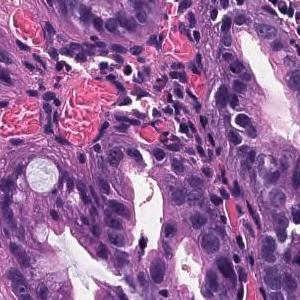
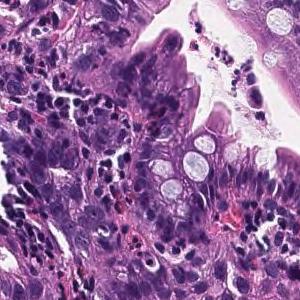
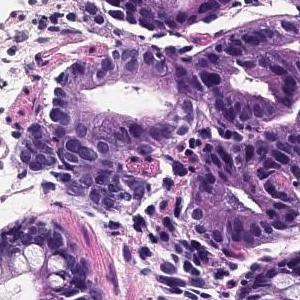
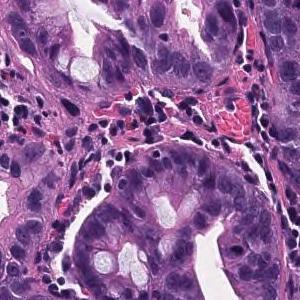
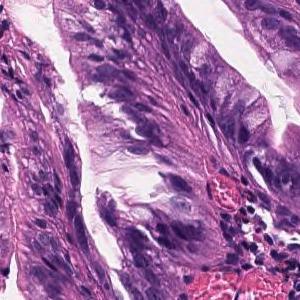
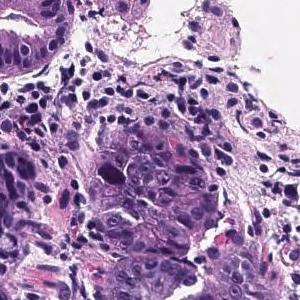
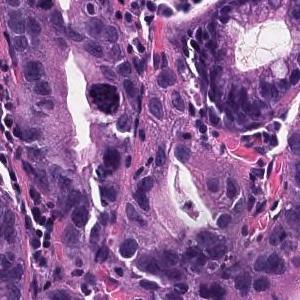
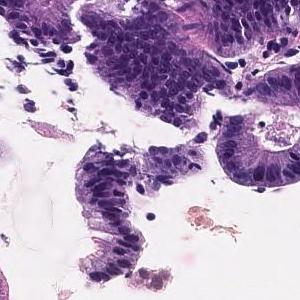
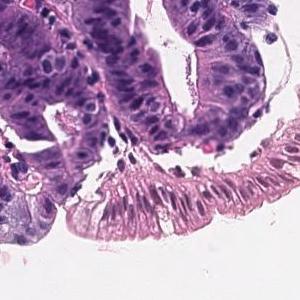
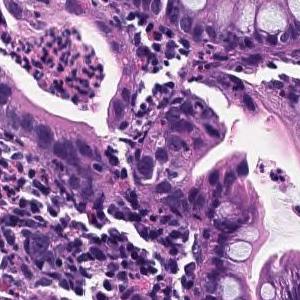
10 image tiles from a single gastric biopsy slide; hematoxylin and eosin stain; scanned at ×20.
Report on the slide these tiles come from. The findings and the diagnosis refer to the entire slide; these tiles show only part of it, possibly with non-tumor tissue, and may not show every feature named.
Atypical ducts are found against the background of intestinal metaplasia. Moderately differentiated tubular adenocarcinoma, Well differentiated tubular adenocarcinoma.
